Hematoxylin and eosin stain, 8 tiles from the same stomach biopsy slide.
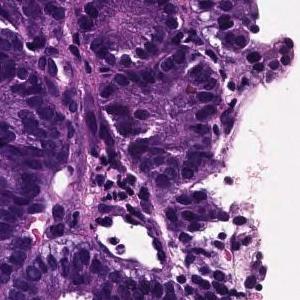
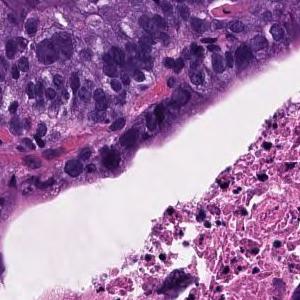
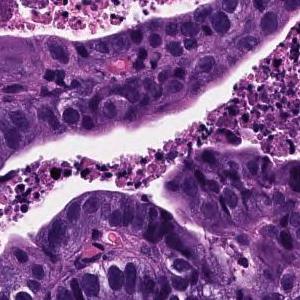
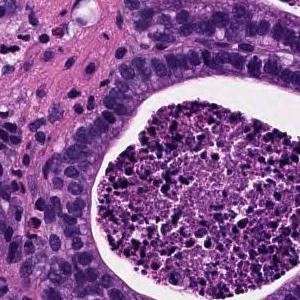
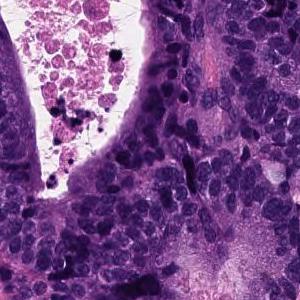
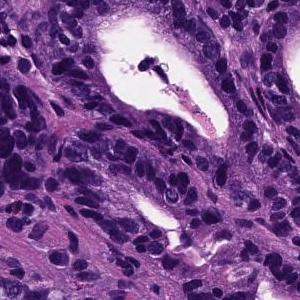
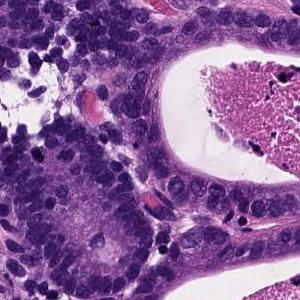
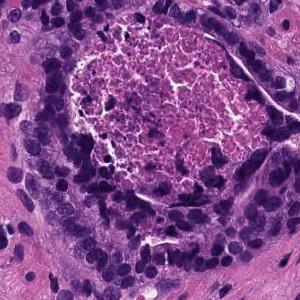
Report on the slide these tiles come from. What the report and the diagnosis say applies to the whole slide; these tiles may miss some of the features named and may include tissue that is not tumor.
From the superficial epithelium to the muscularis mucosae, tumor tissue consisting of medium-sized and irregular glandular ducts infiltrating is observed. Well differentiated tubular adenocarcinoma
